Hematoxylin and eosin stain, ×20, 15 patches cut from one gastric biopsy slide.
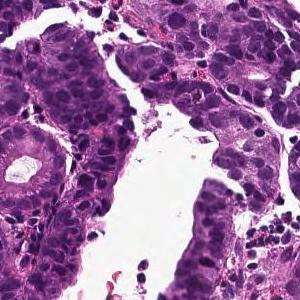
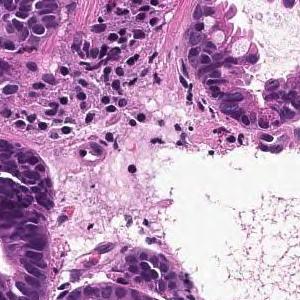
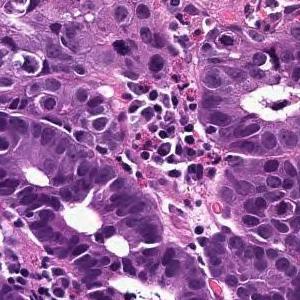
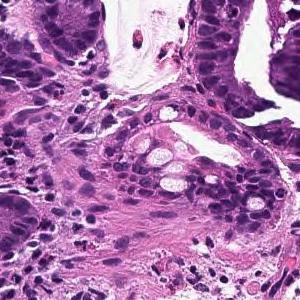
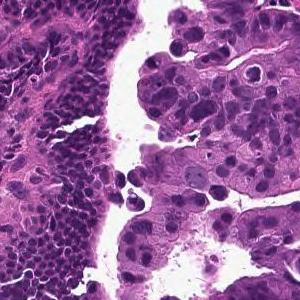
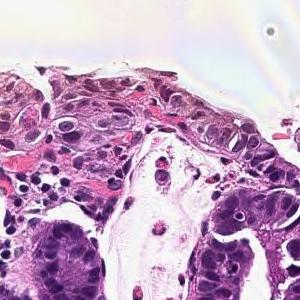
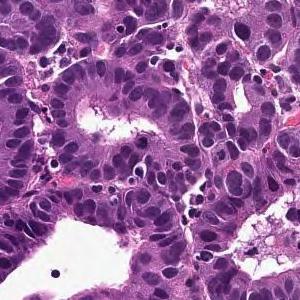
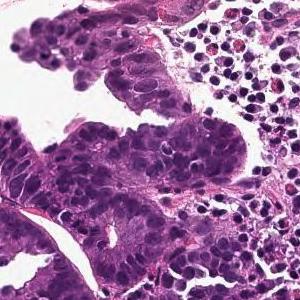
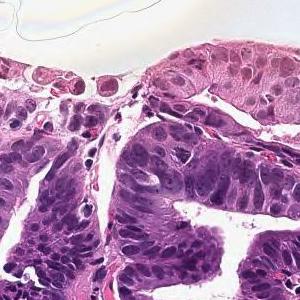
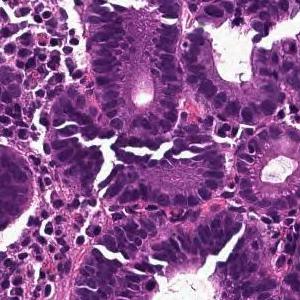
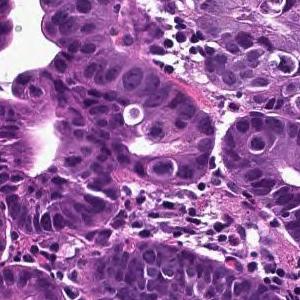
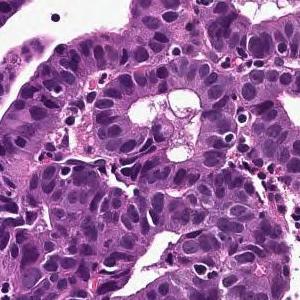
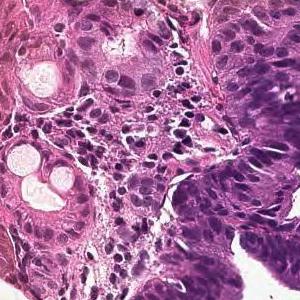
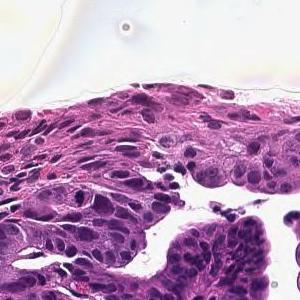
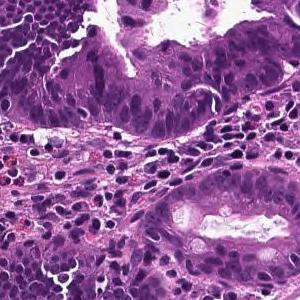
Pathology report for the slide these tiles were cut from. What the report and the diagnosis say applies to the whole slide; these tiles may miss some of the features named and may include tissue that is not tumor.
Tumor cells are large, highly columnar, large club-shaped nuclei, and are associated with chromatin aggregation. Papillary adenocarcinoma.
